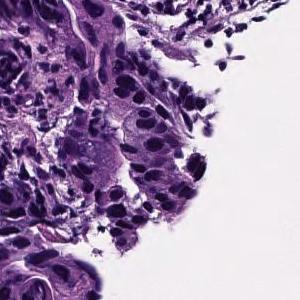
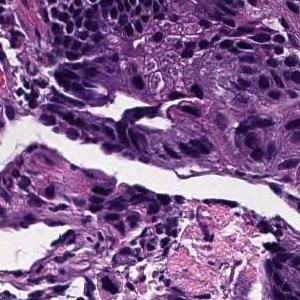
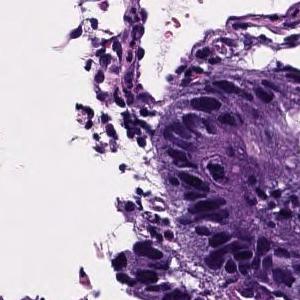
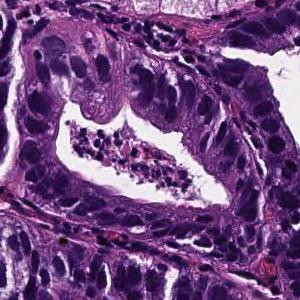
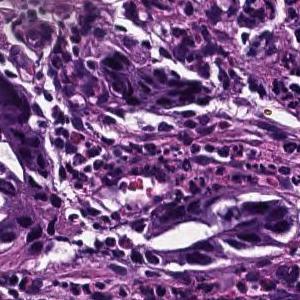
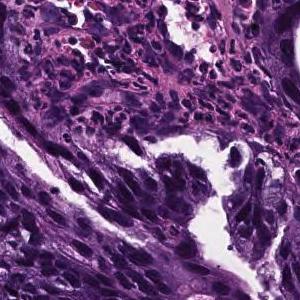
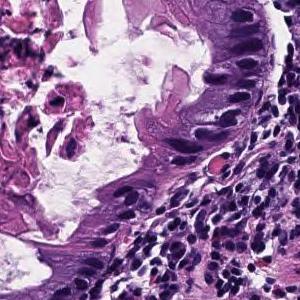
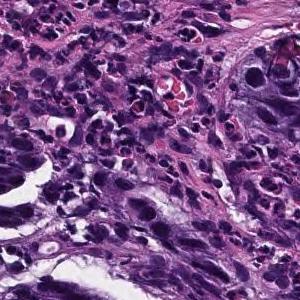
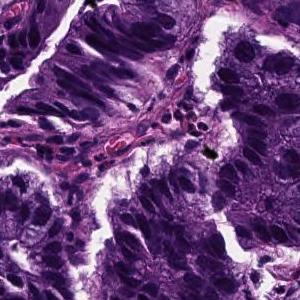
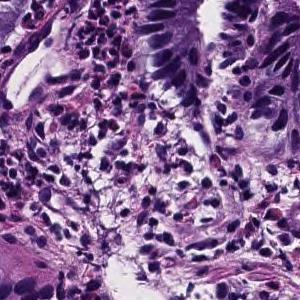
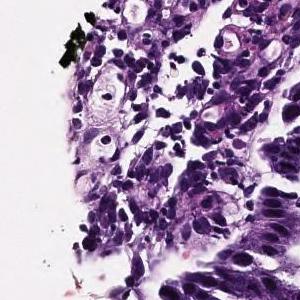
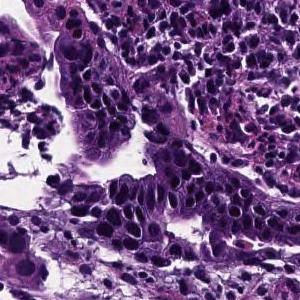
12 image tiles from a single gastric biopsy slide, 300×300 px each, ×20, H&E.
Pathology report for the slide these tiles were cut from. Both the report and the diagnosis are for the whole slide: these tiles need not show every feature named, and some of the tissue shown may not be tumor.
In the superficial epithelium, tumor tissue that invades by forming medium-sized to small, irregular ducts is observed. Moderately differentiated adenocarcinoma.
Classified as moderately differentiated tubular adenocarcinoma.
